Hematoxylin and eosin stain · 7 patches cut from one gastric biopsy slide · each 300 × 300 pixels.
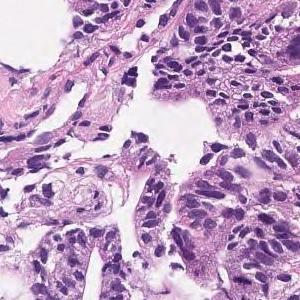
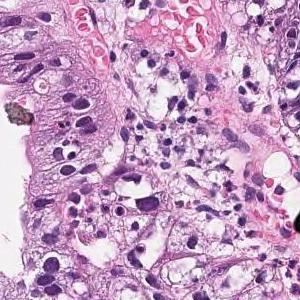
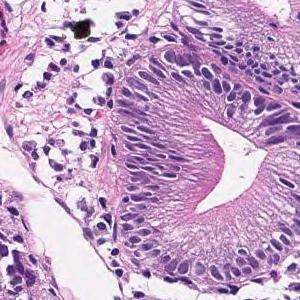
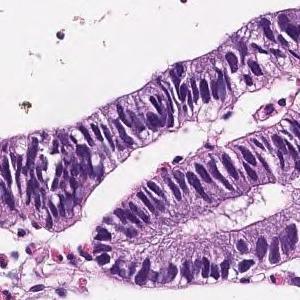
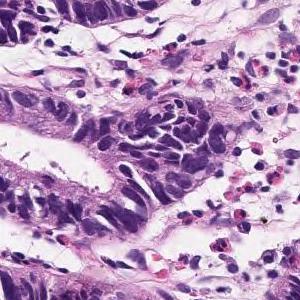
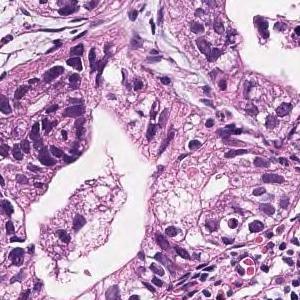
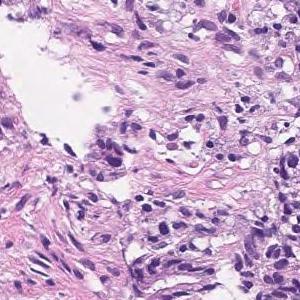
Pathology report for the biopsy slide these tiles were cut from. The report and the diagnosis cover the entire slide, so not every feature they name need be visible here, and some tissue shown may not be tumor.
In the superficial epithelium, tumor tissue that invades by forming medium-sized to small, irregular ducts is observed. Moderately differentiated adenocarcinoma.
Subtype: Moderately differentiated tubular adenocarcinoma.
